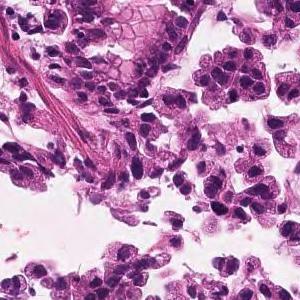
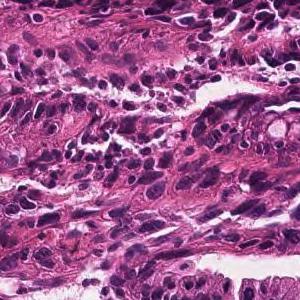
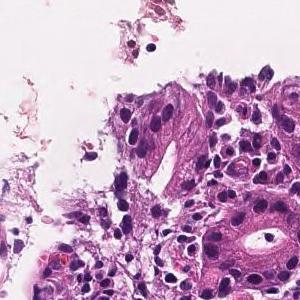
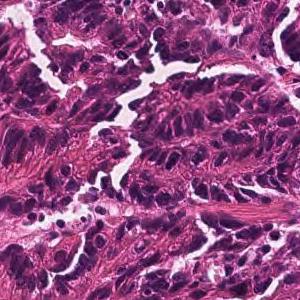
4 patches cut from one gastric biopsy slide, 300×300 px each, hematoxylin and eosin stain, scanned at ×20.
Pathology report for the slide these tiles were cut from. The findings and the diagnosis refer to the entire slide; these tiles show only part of it, possibly with non-tumor tissue, and may not show every feature named.
In the superficial epithelium, tumor tissue that invades by forming medium-sized to small, irregular ducts is observed. moderately differentiated tubular adenocarcinoma.
